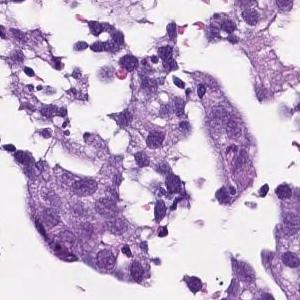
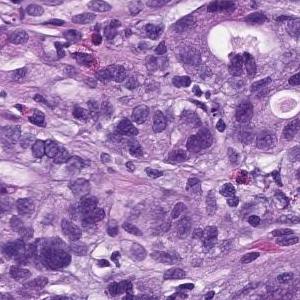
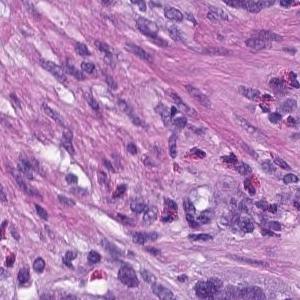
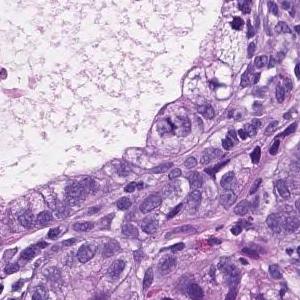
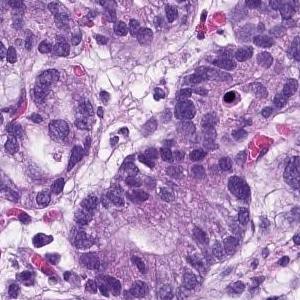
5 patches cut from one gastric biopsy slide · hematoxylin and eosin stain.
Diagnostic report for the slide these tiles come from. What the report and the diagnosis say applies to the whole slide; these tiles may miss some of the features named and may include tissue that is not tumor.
From the superficial epithelium to the muscularis mucosae, tumor tissue consisting of medium-sized and irregular glandular ducts infiltrating is observed. Well differentiated tubular adenocarcinoma
